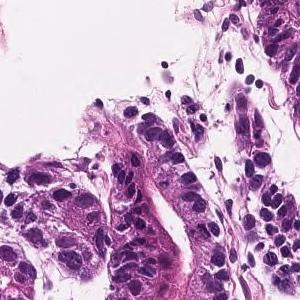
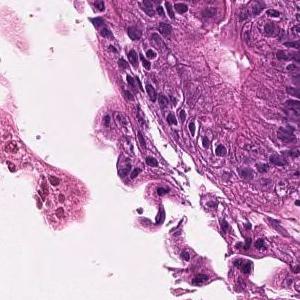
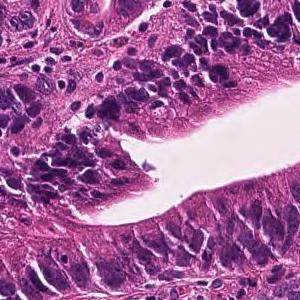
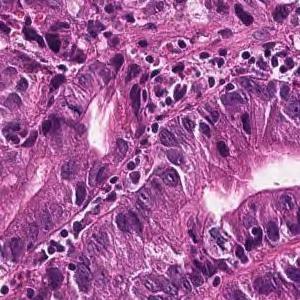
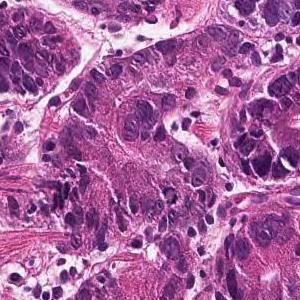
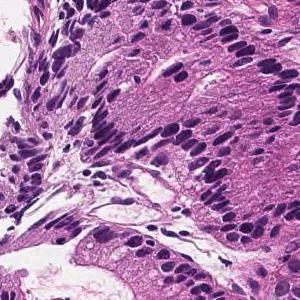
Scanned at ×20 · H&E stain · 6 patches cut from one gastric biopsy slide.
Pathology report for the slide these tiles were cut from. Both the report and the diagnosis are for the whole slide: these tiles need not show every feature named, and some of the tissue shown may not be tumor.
In the superficial epithelium, tumor tissue that invades by forming medium-sized to small, irregular ducts is observed. moderately differentiated tubular adenocarcinoma.
